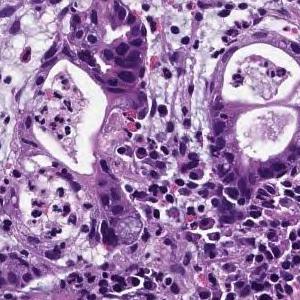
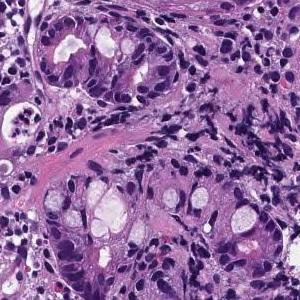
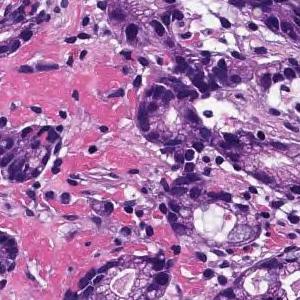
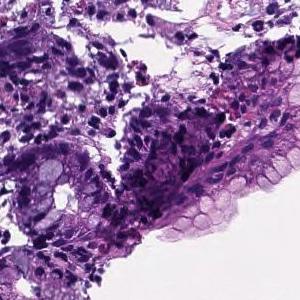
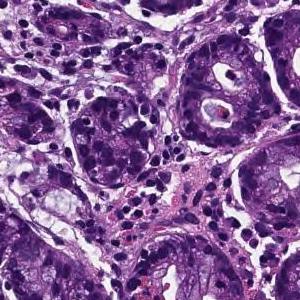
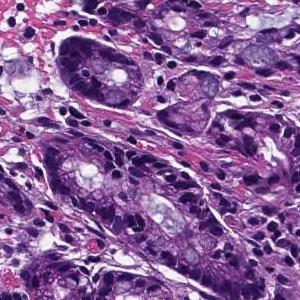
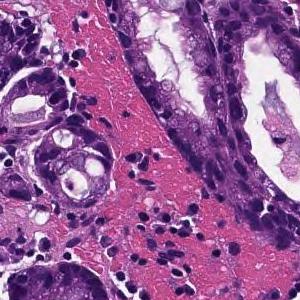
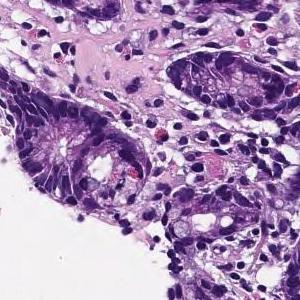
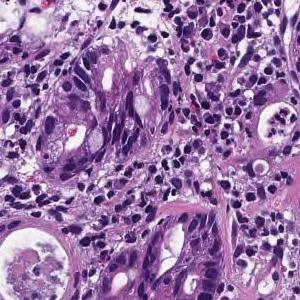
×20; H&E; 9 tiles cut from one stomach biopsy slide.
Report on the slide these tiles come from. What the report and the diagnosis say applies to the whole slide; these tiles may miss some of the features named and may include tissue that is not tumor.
Tumor tissue consisting of medium-sized, cord-like or irregular glandular infiltration is observed in the superficial epithelium. Poorly differentiated adenocarcinoma, non-solid type or moderately differentiated tubular adenocarcinoma
Histological subtype: Moderately to poorly differentiated adenocarcinoma.
The term "non-solid type" comes from the Japanese Classification of Gastric Carcinoma.
